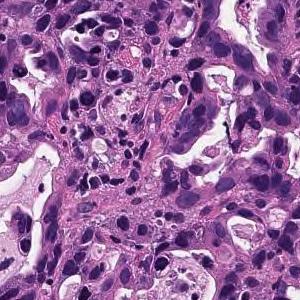
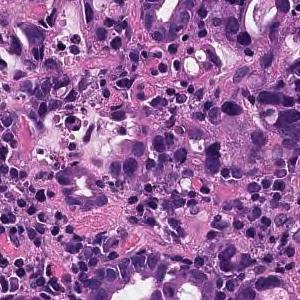
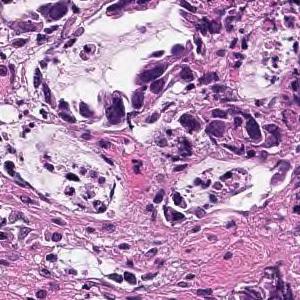
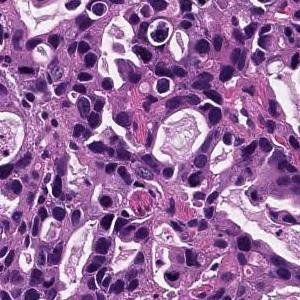
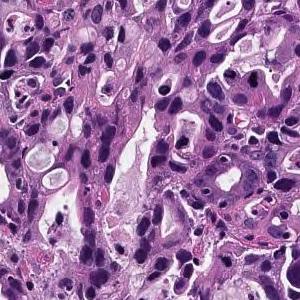
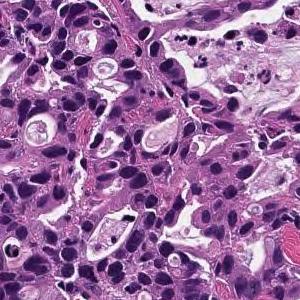
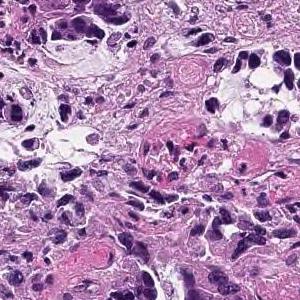
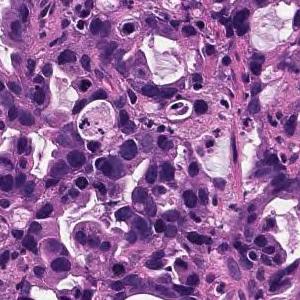
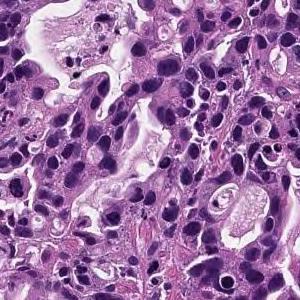
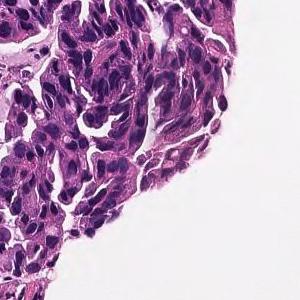
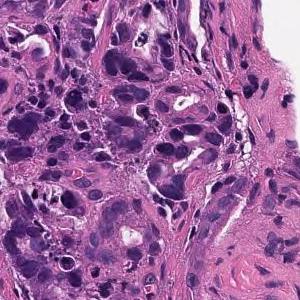
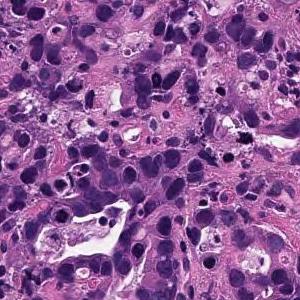
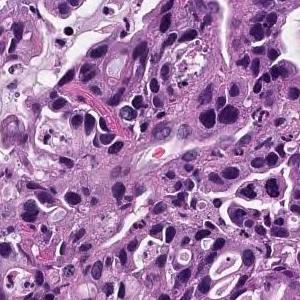
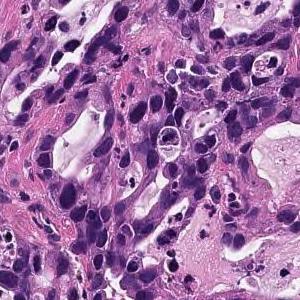
14 image tiles from a single gastric biopsy slide; 300×300 px each; H&E stain; scanned at ×20.
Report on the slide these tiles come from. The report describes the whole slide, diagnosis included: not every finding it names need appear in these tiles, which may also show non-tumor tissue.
In the superficial epithelium, tumor tissue that invades by forming medium-sized to small, irregular ducts is observed. moderately differentiated tubular adenocarcinoma.
